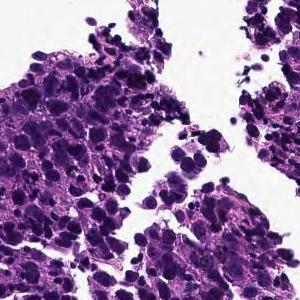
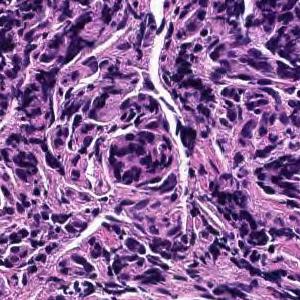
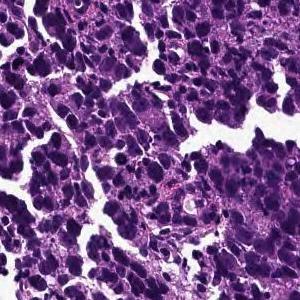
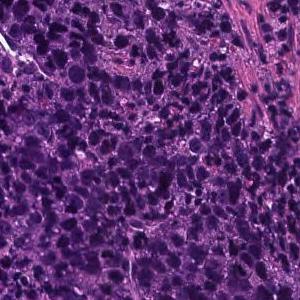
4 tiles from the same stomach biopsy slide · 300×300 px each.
Diagnostic report for the slide these tiles come from. What the report and the diagnosis say applies to the whole slide; these tiles may miss some of the features named and may include tissue that is not tumor.
The superficial epithelium shows large alveolar or sheet-like forms, and some tumor tissue infiltrates with small irregular ducts. Poorly differentiated adenocarcinoma, solid-type
Histological subtype: Poorly differentiated adenocarcinoma, solid type. This name comes from the Japanese Classification of Gastric Carcinoma; the WHO 2019 classification calls it tubular adenocarcinoma, poorly differentiated.
